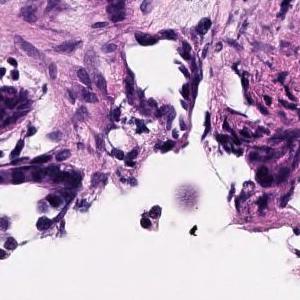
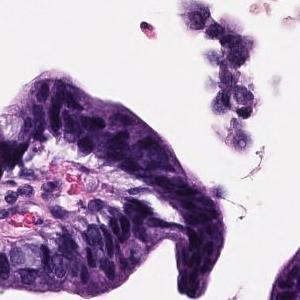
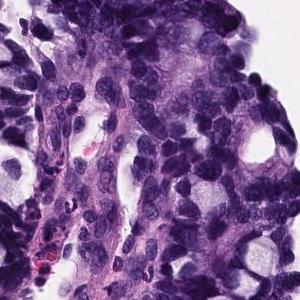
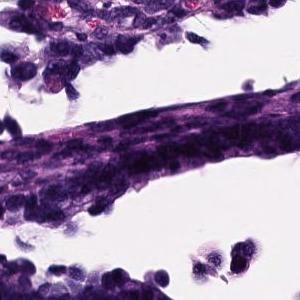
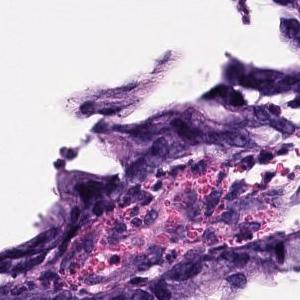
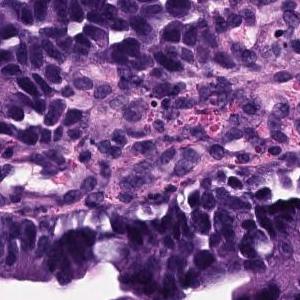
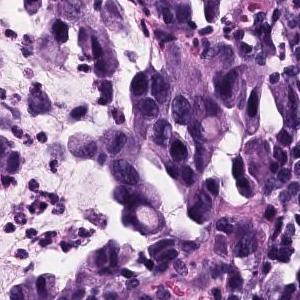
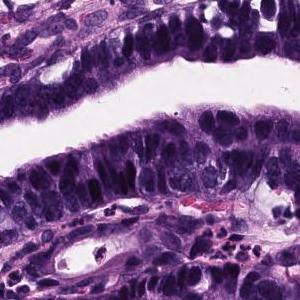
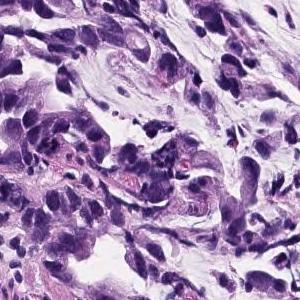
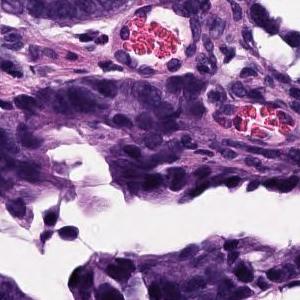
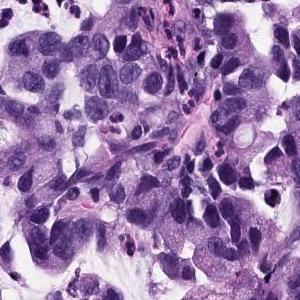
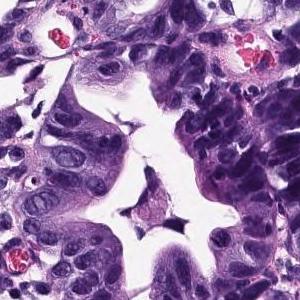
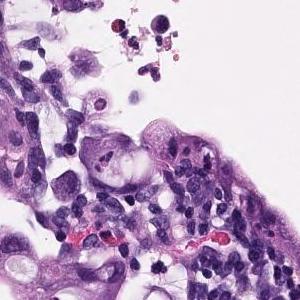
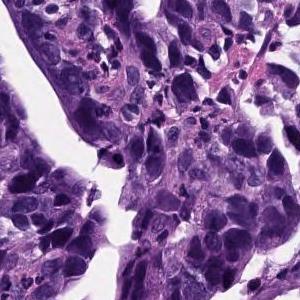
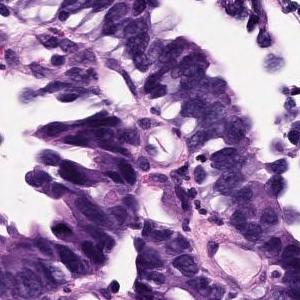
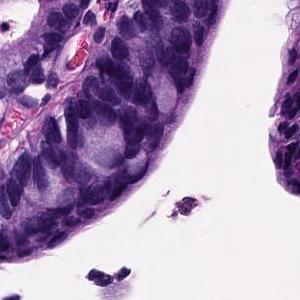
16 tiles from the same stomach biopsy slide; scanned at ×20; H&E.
Pathology report for the slide these tiles were cut from. The report describes the whole slide, diagnosis included: not every finding it names need appear in these tiles, which may also show non-tumor tissue.
Atypical epithelium proliferating showing villus construction and irregular gland duct construction is observed. Moderately differentiated tubular adenocarcinoma.
